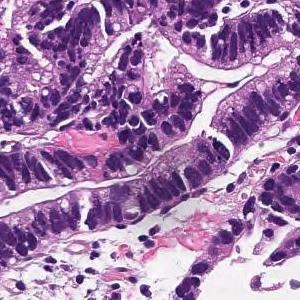
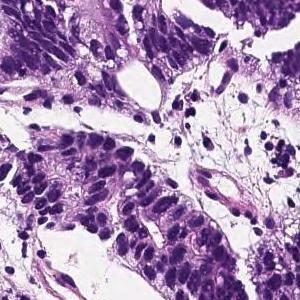
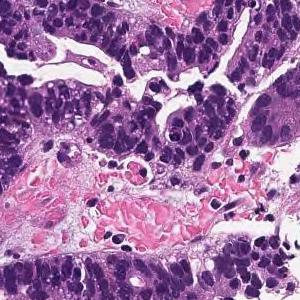
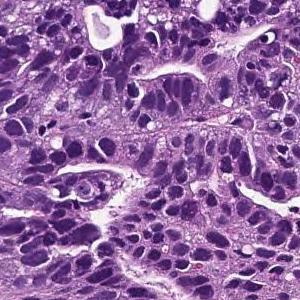
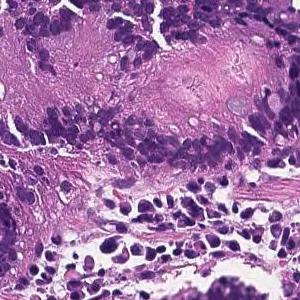
5 tiles cut from one stomach biopsy slide · H&E.
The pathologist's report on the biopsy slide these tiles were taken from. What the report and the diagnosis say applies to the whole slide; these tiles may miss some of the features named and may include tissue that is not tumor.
In the superficial epithelium, tumor tissue that invades by forming medium-sized to small, irregular ducts is observed. moderately differentiated tubular adenocarcinoma.
